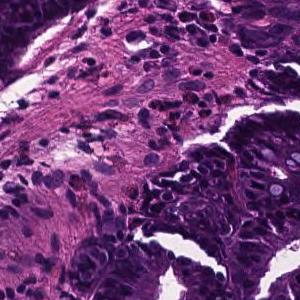
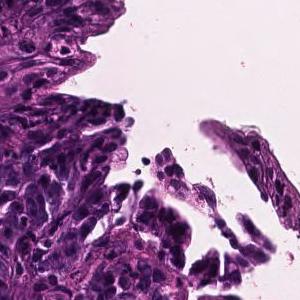
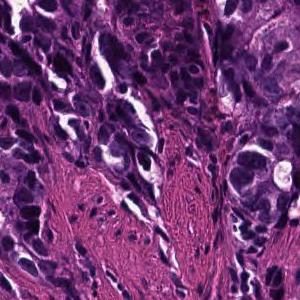
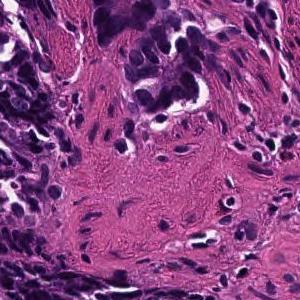
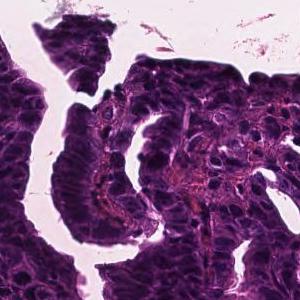
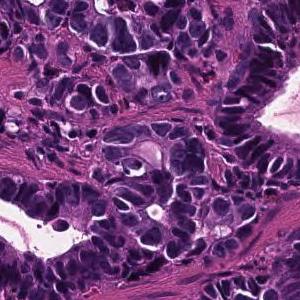
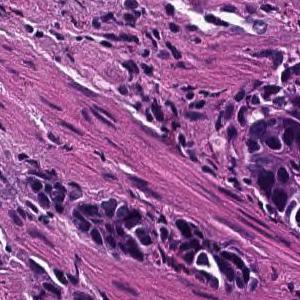
Scanned at ×20; H&E; 7 tiles cut from one stomach biopsy slide.
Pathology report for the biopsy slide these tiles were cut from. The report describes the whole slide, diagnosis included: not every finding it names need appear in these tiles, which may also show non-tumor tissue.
In the superficial epithelium, tumor tissue that invades by forming medium-sized to small, irregular ducts is observed. moderately differentiated tubular adenocarcinoma.
